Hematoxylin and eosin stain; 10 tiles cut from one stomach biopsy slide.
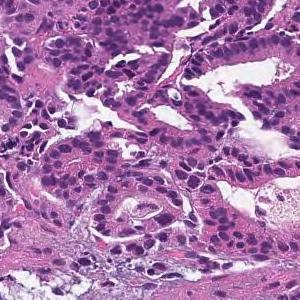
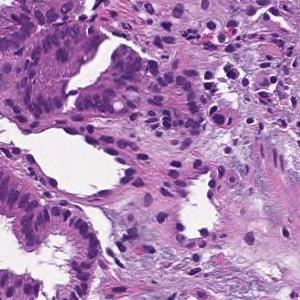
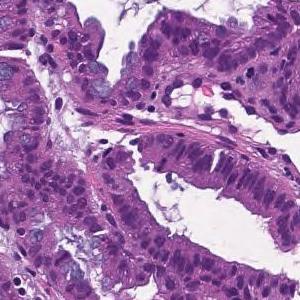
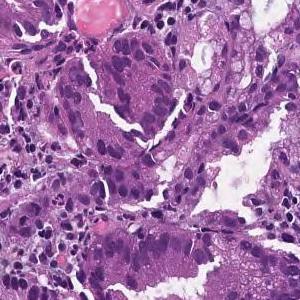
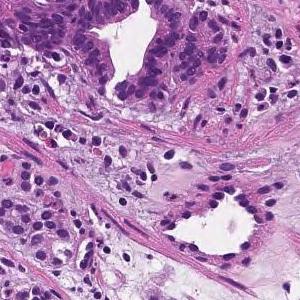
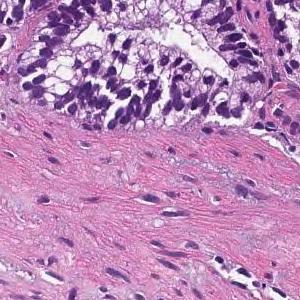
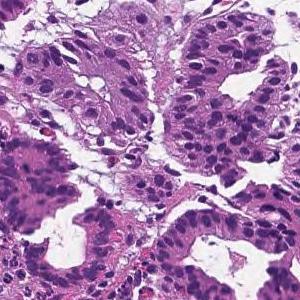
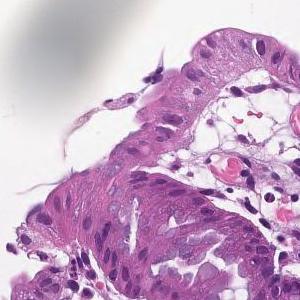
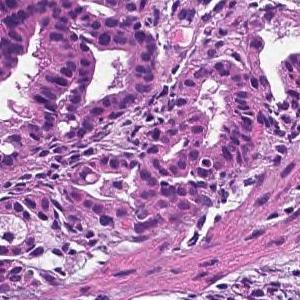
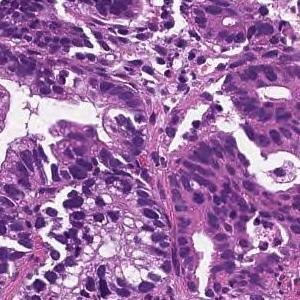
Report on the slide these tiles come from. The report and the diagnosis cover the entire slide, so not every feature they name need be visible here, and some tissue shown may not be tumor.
From the superficial epithelium to the muscularis mucosae, tumor tissue consisting of medium-sized and irregular glandular ducts infiltrating is observed. Well differentiated tubular adenocarcinoma
